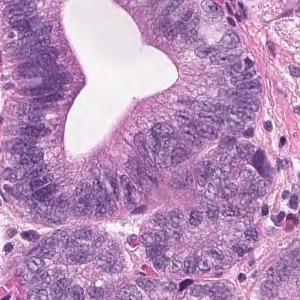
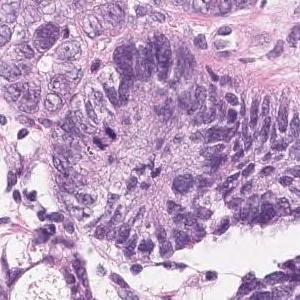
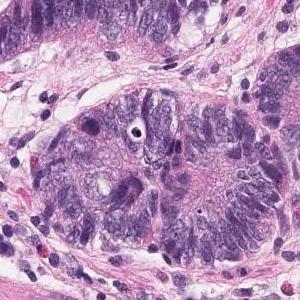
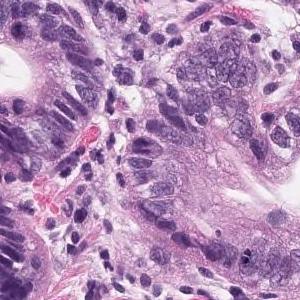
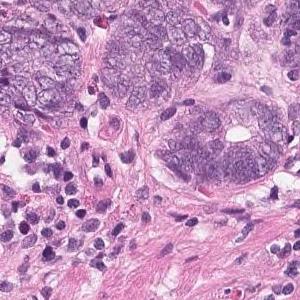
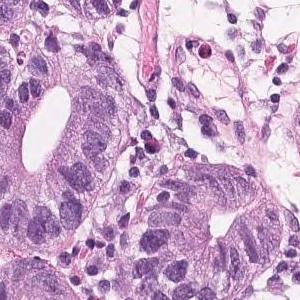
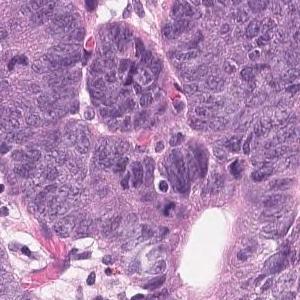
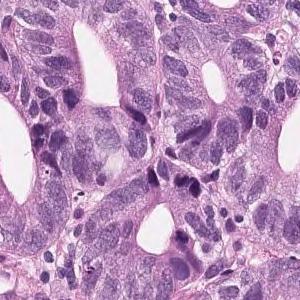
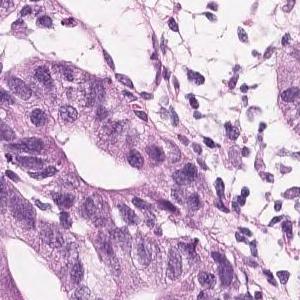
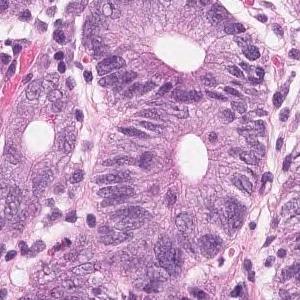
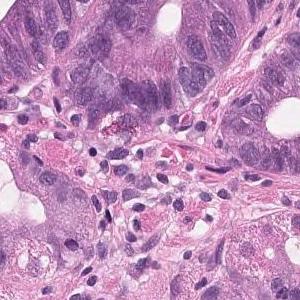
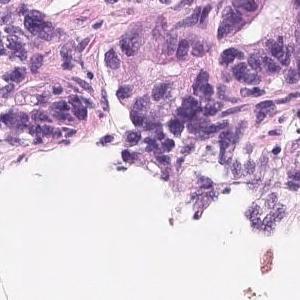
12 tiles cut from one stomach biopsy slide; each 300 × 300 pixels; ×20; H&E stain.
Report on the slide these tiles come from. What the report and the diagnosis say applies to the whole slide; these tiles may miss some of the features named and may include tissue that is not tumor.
Atypical ducts with severe atypia are densely populated in the superficial epithelium, and tumor tissue with hyperplasia is observed. Well differentiated tubular adenocarcinoma
